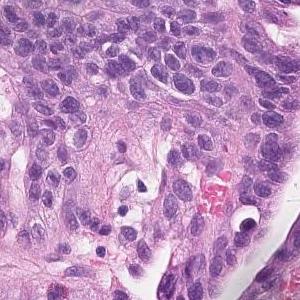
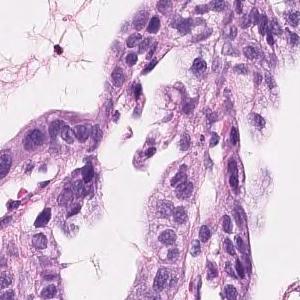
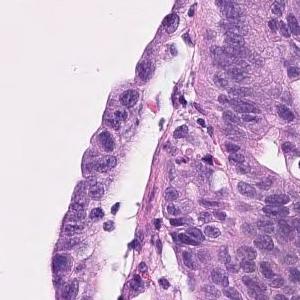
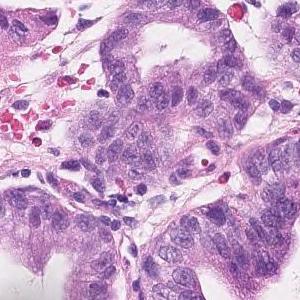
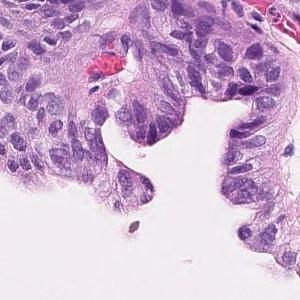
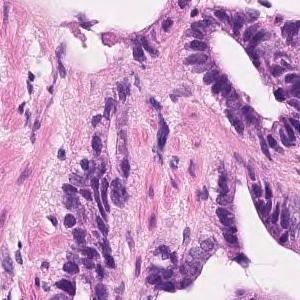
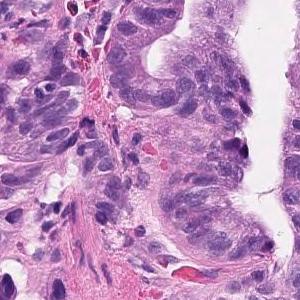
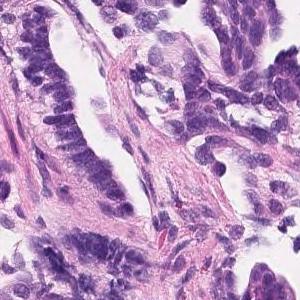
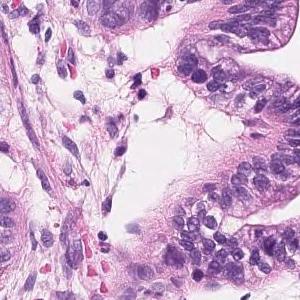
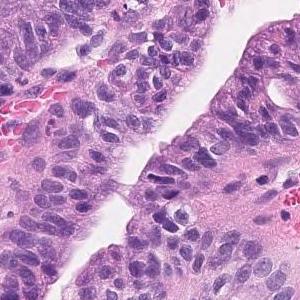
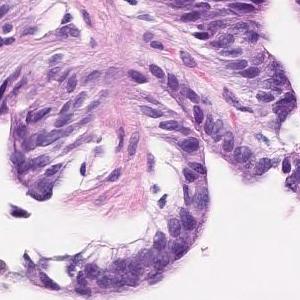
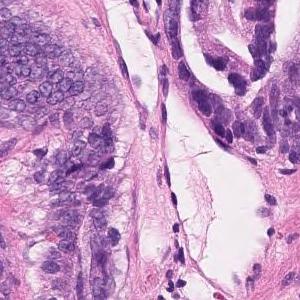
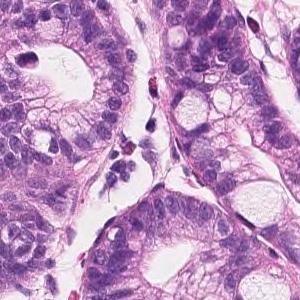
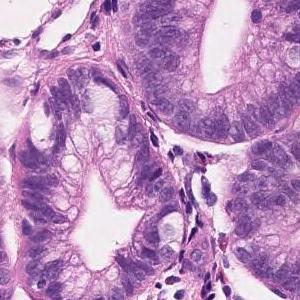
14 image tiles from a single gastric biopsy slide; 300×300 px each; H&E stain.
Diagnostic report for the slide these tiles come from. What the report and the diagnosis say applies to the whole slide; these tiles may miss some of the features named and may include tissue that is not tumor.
Tumor cells are large, highly columnar, large club-shaped nuclei, and are associated with chromatin aggregation. Papillary adenocarcinoma.
